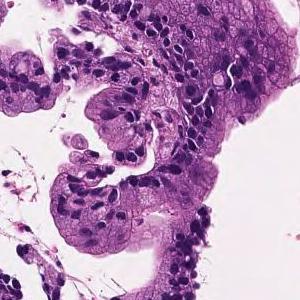
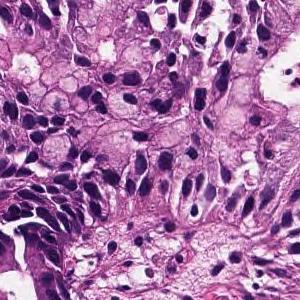
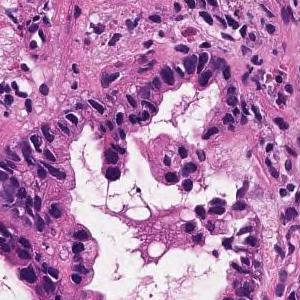
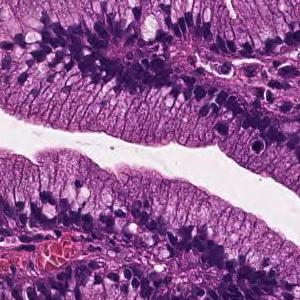
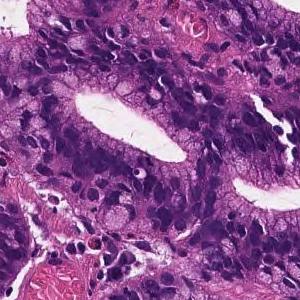
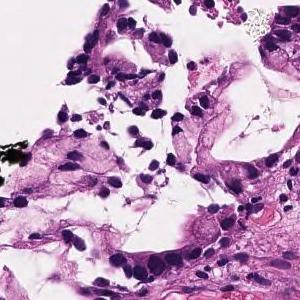
×20, hematoxylin and eosin stain, 6 image tiles from a single gastric biopsy slide, 300 × 300 pixels each.
Pathology report for the slide these tiles were cut from. The report and the diagnosis cover the entire slide, so not every feature they name need be visible here, and some tissue shown may not be tumor.
On the superficial epithelium, tumor tissue consisting of medium-sized and irregular glandular ducts partially fused and infiltrated is observed. Well to moderately differentiated tubular adenocarcinoma (well differentiated tubular adenocarcinoma-moderately differentiated tubular adenocarcinoma)
Histologic type: Well to moderately differentiated tubular adenocarcinoma.
